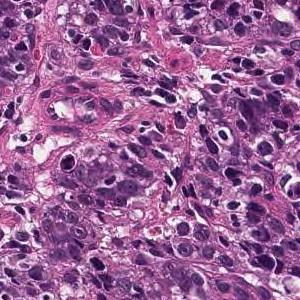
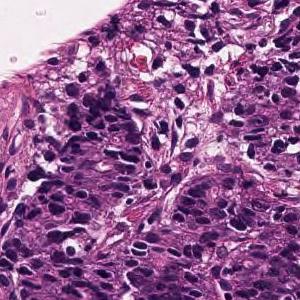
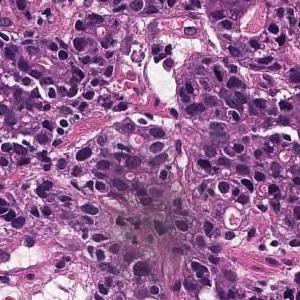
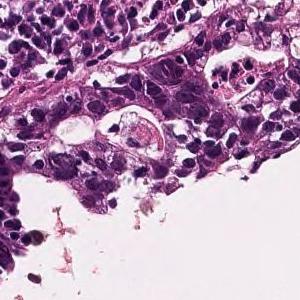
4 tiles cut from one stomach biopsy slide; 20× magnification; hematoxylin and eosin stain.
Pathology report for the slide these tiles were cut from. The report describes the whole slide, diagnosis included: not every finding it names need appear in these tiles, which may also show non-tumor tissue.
Medium to small, irregular glandular ducts are formed in the superficial epithelium, and in some cases, the glandular ducts are fused to show solid alveolar lesions and infiltrating tumor tissue is observed. Moderately to poorly differentiated adenocarcinoma.
